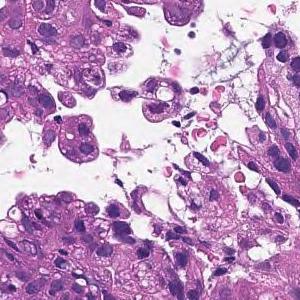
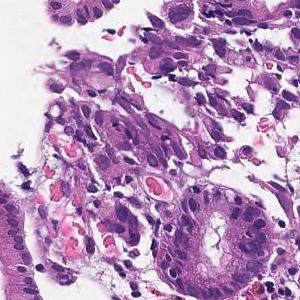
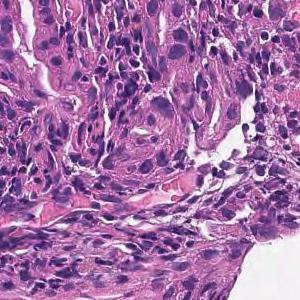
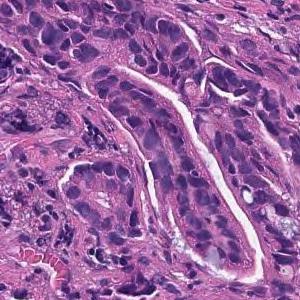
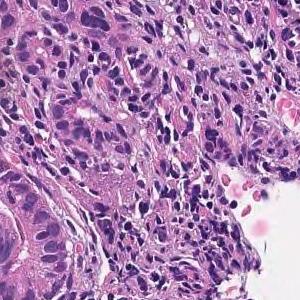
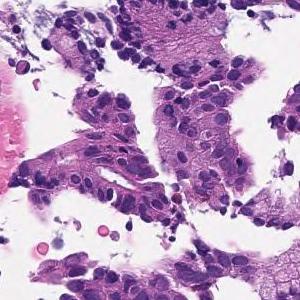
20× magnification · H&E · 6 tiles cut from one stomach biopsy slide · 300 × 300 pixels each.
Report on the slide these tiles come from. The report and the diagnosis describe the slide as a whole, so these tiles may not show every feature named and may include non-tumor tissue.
In the superficial epithelium, tumor tissue that invades by forming medium-sized to small, irregular ducts is observed. moderately differentiated tubular adenocarcinoma.
